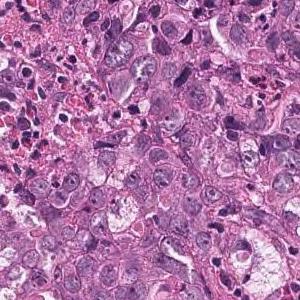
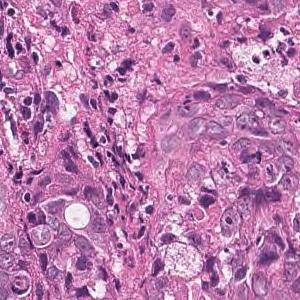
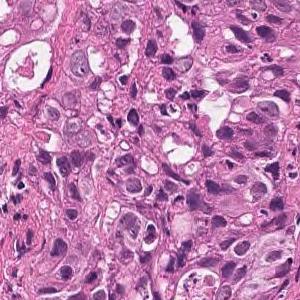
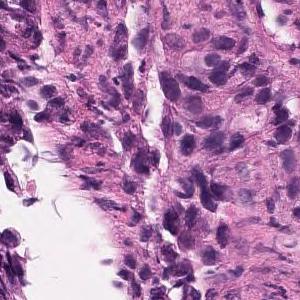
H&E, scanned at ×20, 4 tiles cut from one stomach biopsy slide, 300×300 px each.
Pathology report for the biopsy slide these tiles were cut from. Both the report and the diagnosis are for the whole slide: these tiles need not show every feature named, and some of the tissue shown may not be tumor.
Tumor tissue that infiltrates and proliferates with alveolar or cord-like structures with small glandular cavities in the superficial to submucosal layers is observed. moderately differentiated tubular adenocarcinoma
